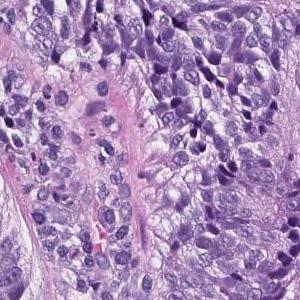
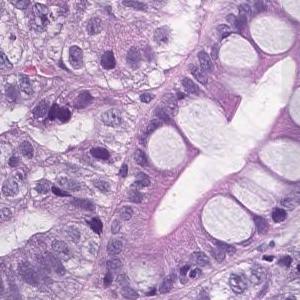
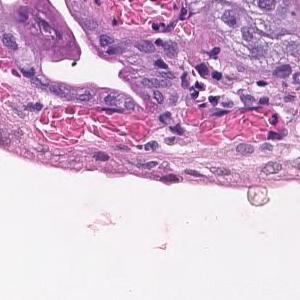
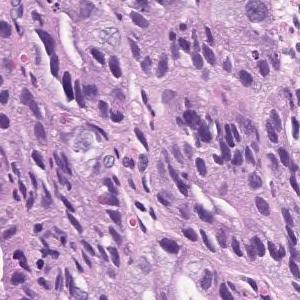
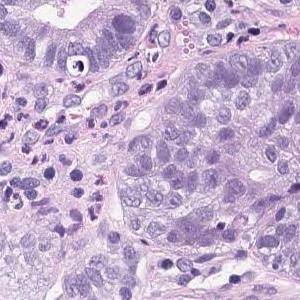
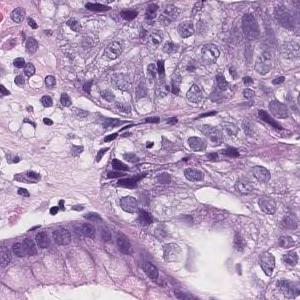
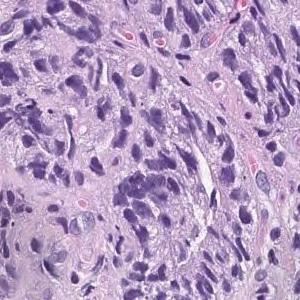
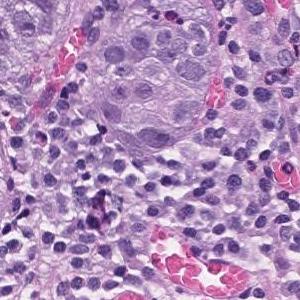
20× magnification · H&E stain · 8 patches cut from one gastric biopsy slide · 300 × 300 pixels each.
Pathology report for the slide these tiles were cut from. The report describes the whole slide, diagnosis included: not every finding it names need appear in these tiles, which may also show non-tumor tissue.
On the superficial epithelium, tumor tissue consisting of medium to small irregular tubules partially fused and proliferated is observed. moderately differentiated tubular adenocarcinoma
